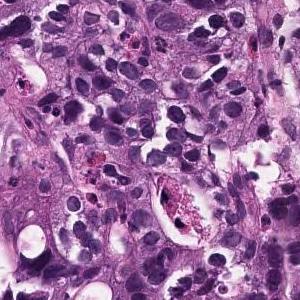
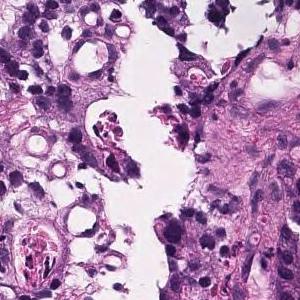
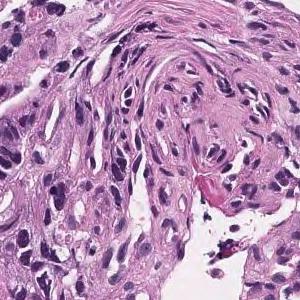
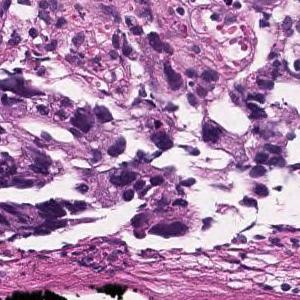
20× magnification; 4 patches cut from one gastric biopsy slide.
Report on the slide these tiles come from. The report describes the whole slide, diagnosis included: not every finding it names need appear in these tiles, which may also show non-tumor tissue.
Tumor tissue consisting of medium-sized, cord-like or irregular glandular infiltration is observed in the superficial epithelium. Poorly differentiated adenocarcinoma, non-solid type or moderately differentiated tubular adenocarcinoma
The non-solid type named here is a Japanese Classification of Gastric Carcinoma category.
